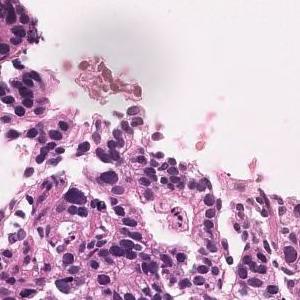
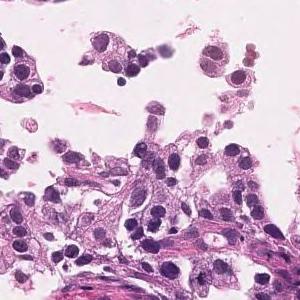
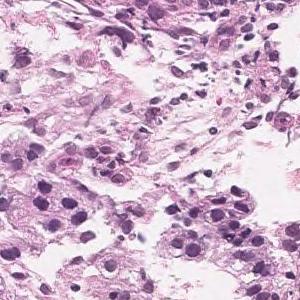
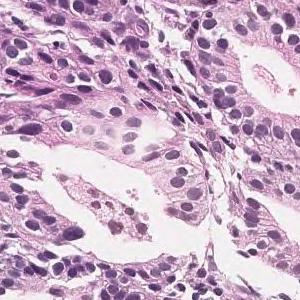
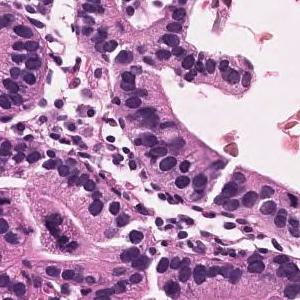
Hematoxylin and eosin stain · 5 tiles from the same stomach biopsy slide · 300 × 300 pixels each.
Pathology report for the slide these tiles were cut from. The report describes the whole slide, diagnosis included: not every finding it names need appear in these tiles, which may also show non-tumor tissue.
In the superficial epithelium, tumor tissue that invades by forming medium-sized to small, irregular ducts is observed. moderately differentiated tubular adenocarcinoma.
